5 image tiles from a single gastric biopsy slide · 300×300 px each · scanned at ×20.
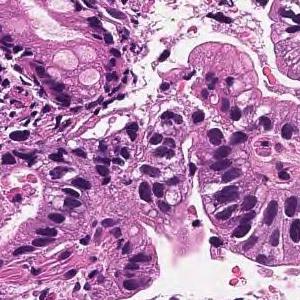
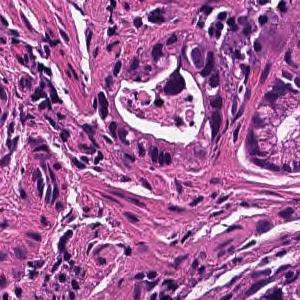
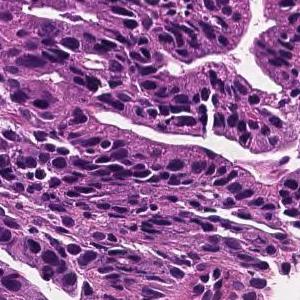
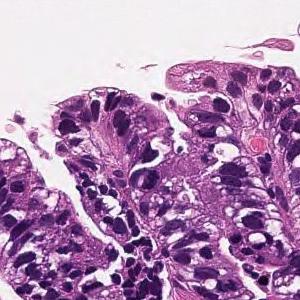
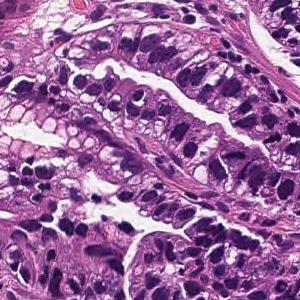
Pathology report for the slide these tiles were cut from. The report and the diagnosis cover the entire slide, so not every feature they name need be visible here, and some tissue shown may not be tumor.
On the superficial epithelium, tumor tissue is found in which medium-sized irregular gland ducts fuse with each other and infiltrate. moderately differentiated tubular adenocarcinoma or Poorly differentiated adenocarcinoma, non-solid type
Histologic type: Moderately to poorly differentiated adenocarcinoma.
The term "non-solid type" comes from the Japanese Classification of Gastric Carcinoma.
